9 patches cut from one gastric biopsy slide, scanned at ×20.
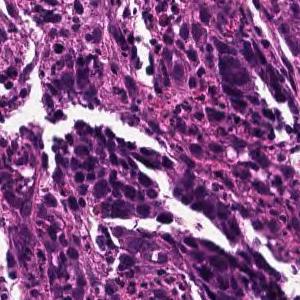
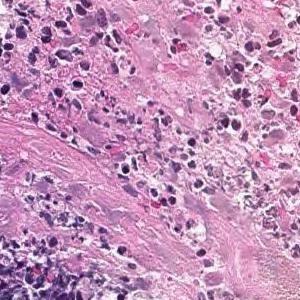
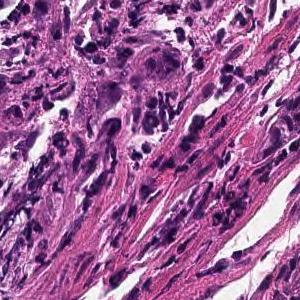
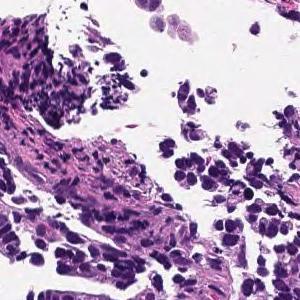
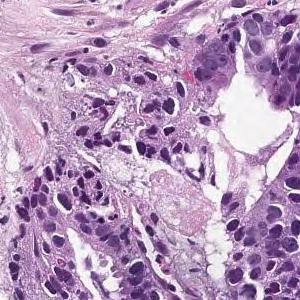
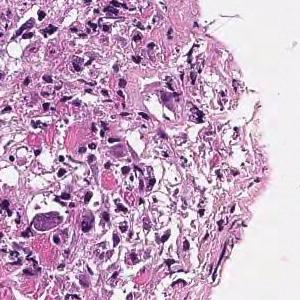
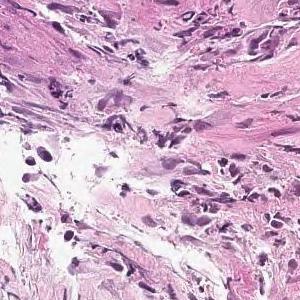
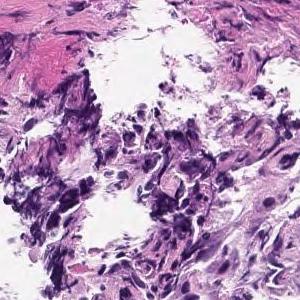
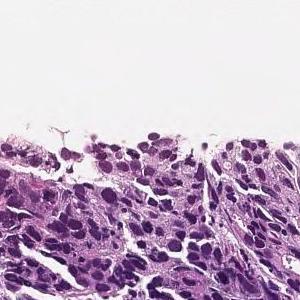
Diagnostic report for the slide these tiles come from. The report and the diagnosis describe the slide as a whole, so these tiles may not show every feature named and may include non-tumor tissue.
In the superficial epithelium, tumor tissue that invades by forming medium-sized to small, irregular ducts is observed. moderately differentiated tubular adenocarcinoma.
